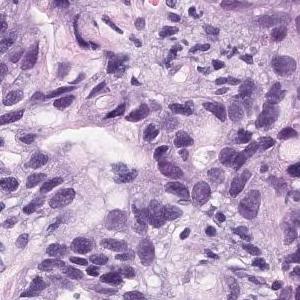
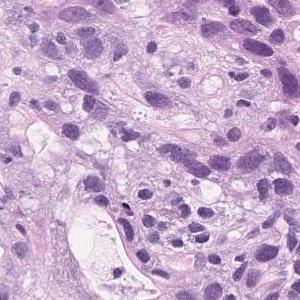
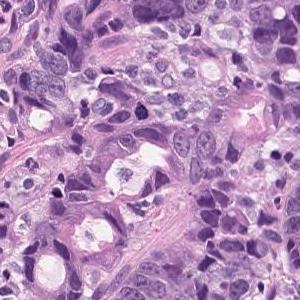
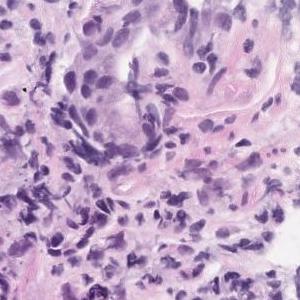
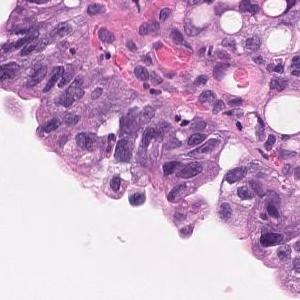
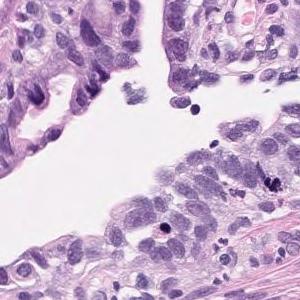
6 tiles from the same stomach biopsy slide · H&E.
Pathology report for the slide these tiles were cut from. Both the report and the diagnosis are for the whole slide: these tiles need not show every feature named, and some of the tissue shown may not be tumor.
Tumor tissue consisting of medium-sized, cord-like or irregular glandular infiltration is observed in the superficial epithelium. Poorly differentiated adenocarcinoma, non-solid type or moderately differentiated tubular adenocarcinoma
Dataset label: poorly differentiated adenocarcinoma, non-solid type.
"Non-solid type" is a category of the Japanese Classification of Gastric Carcinoma.
